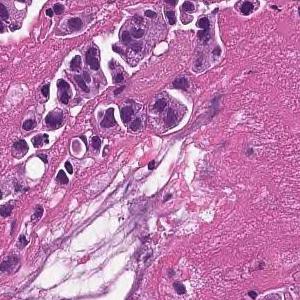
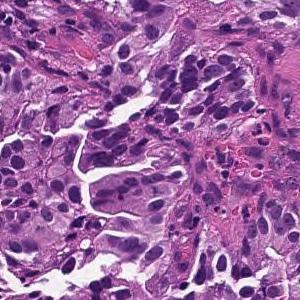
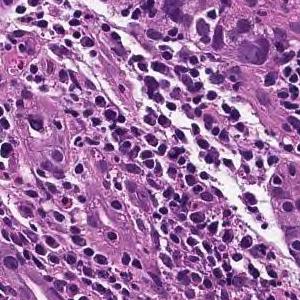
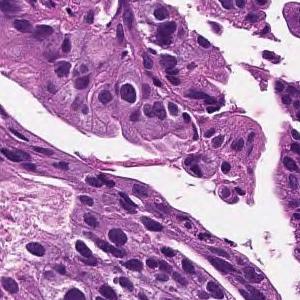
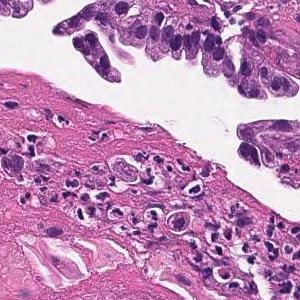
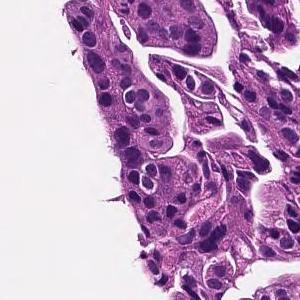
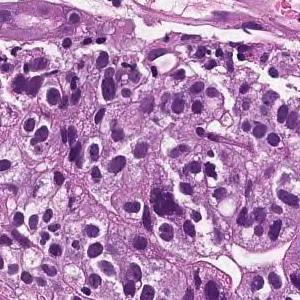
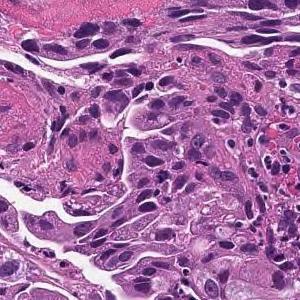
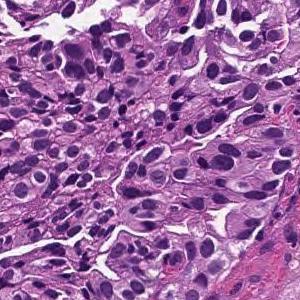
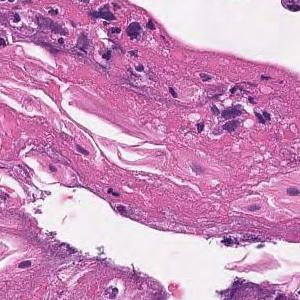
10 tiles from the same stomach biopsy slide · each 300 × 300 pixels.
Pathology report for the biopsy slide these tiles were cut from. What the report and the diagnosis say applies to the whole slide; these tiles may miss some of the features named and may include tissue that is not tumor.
Medium to small, irregular glandular ducts are formed in the superficial epithelium, and in some cases, the glandular ducts are fused to show solid alveolar lesions and infiltrating tumor tissue is observed. Moderately to poorly differentiated adenocarcinoma.
